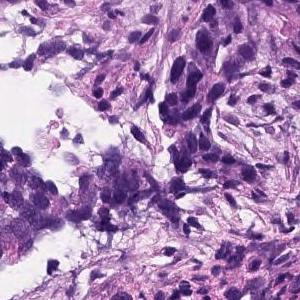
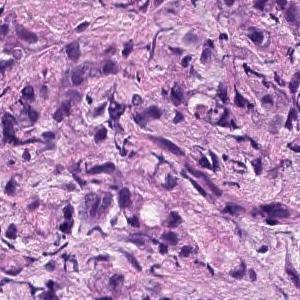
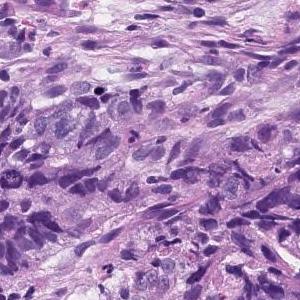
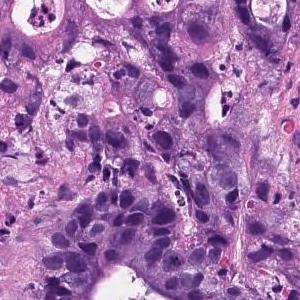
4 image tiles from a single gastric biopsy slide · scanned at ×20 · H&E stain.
Pathology report for the slide these tiles were cut from. The report and the diagnosis describe the slide as a whole, so these tiles may not show every feature named and may include non-tumor tissue.
Medium to small, irregular glandular ducts are formed in the superficial epithelium, and in some cases, the glandular ducts are fused to show solid alveolar lesions and infiltrating tumor tissue is observed. Moderately to poorly differentiated adenocarcinoma.
